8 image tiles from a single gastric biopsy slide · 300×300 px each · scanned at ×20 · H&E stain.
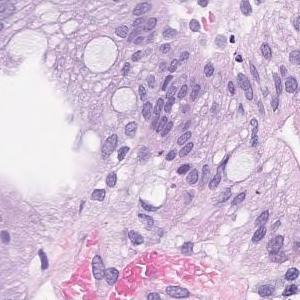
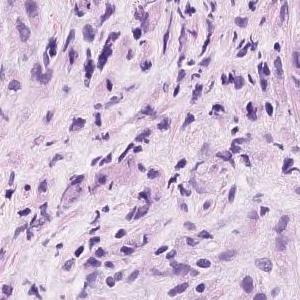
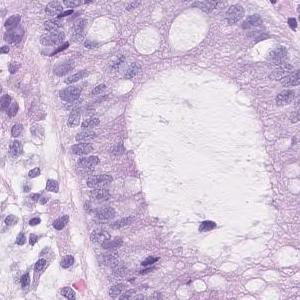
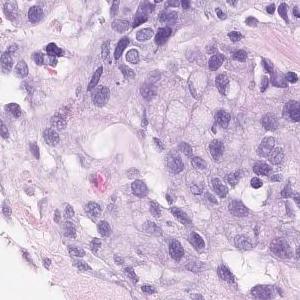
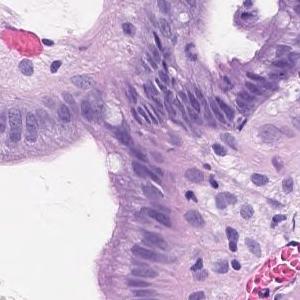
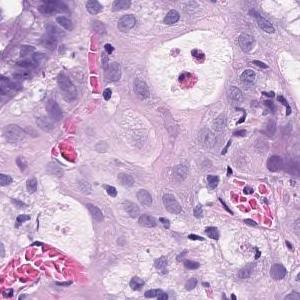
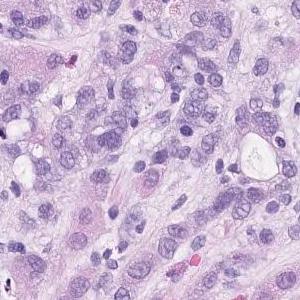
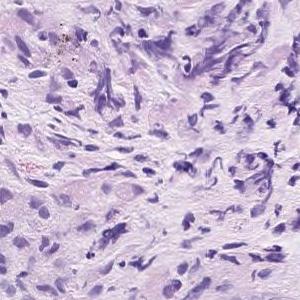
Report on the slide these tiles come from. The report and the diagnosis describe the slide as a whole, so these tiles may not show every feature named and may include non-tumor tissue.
Group 5, Adenocarcinoma. Poorly differentiated adenocarcinoma, non-solid type
The non-solid type named here is a Japanese Classification of Gastric Carcinoma category.
